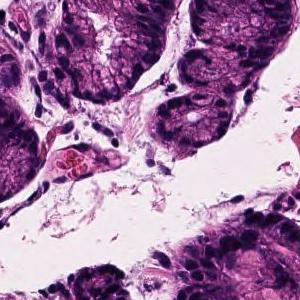
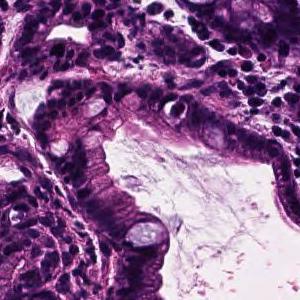
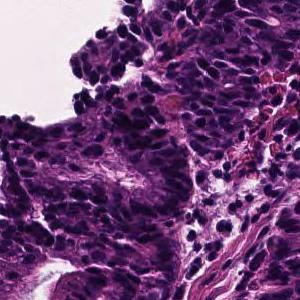
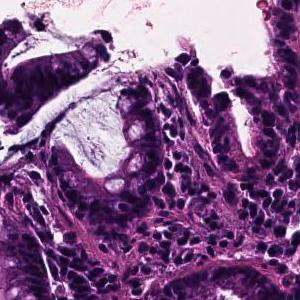
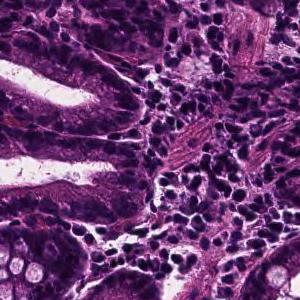
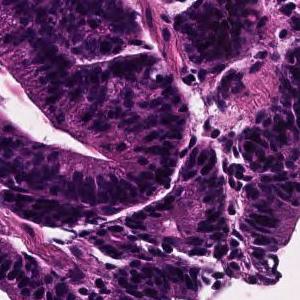
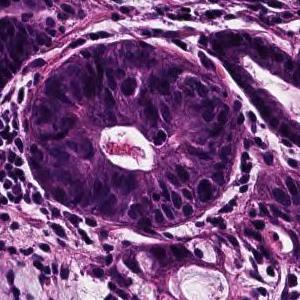
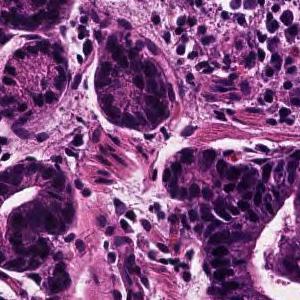
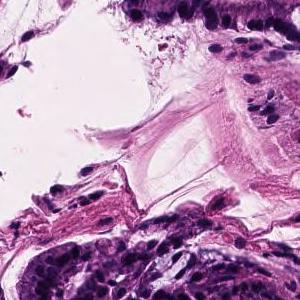
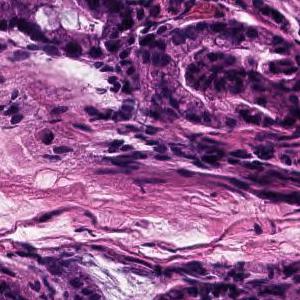
Scanned at ×20, H&E stain, 10 tiles from the same stomach biopsy slide, each 300 × 300 pixels.
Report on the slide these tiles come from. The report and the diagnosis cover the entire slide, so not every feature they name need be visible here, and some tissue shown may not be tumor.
In the superficial epithelium, tumor tissue infiltrated by partial fusion of medium-sized to small, irregular glandular ducts is observed. moderately differentiated tubular adenocarcinoma
